H&E stain; 9 tiles cut from one stomach biopsy slide; each 300 × 300 pixels.
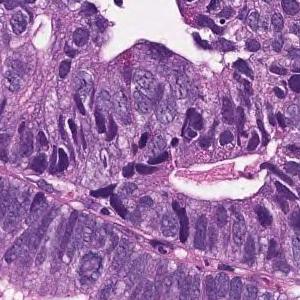
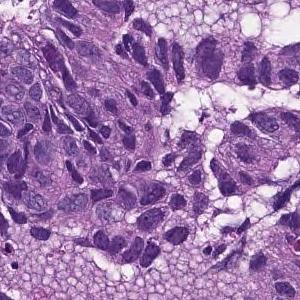
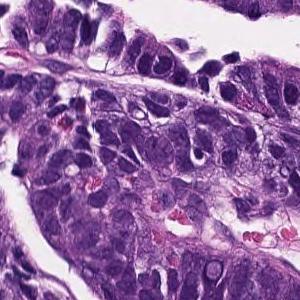
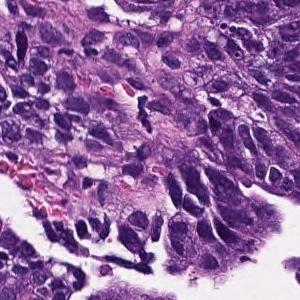
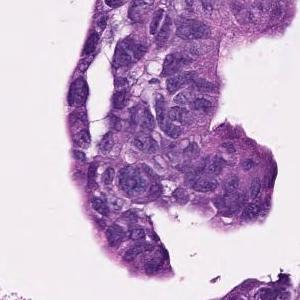
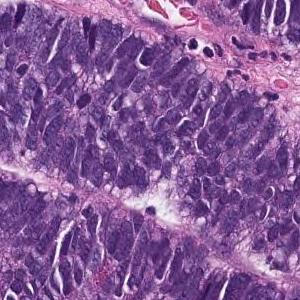
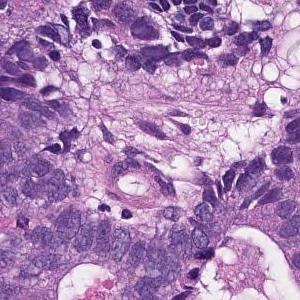
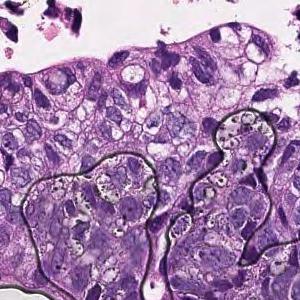
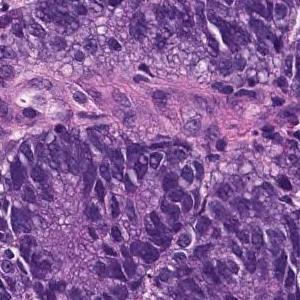
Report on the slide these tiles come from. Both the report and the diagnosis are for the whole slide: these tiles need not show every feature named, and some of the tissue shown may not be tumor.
In the superficial epithelium, tumor tissue that invades by forming medium-sized to small, irregular ducts is observed. moderately differentiated tubular adenocarcinoma.
